8 patches cut from one gastric biopsy slide · 300 × 300 pixels each · H&E stain · 20× magnification.
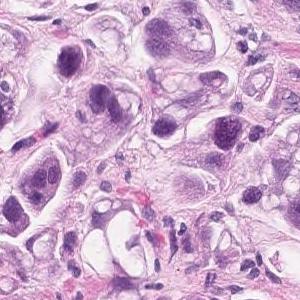
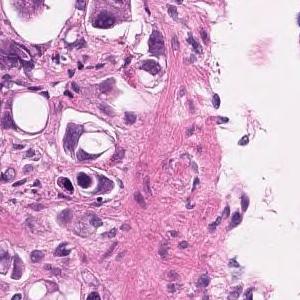
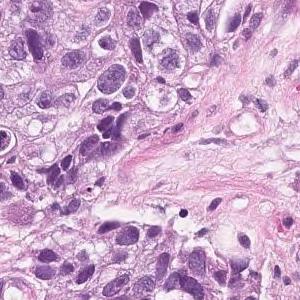
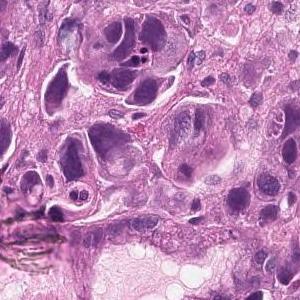
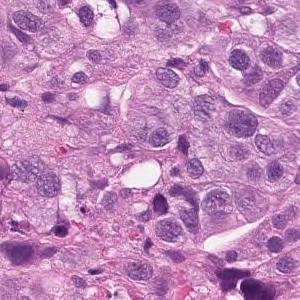
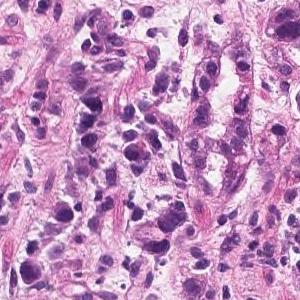
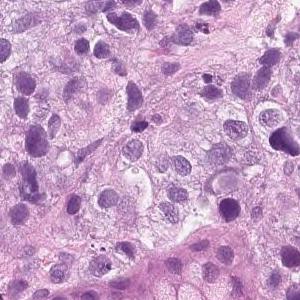
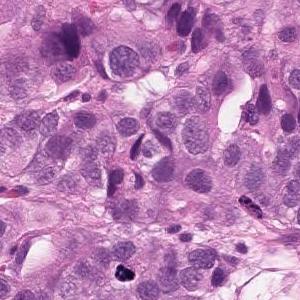
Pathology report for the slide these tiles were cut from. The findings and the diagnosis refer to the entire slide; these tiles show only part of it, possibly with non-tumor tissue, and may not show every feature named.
Tumor tissue that infiltrates the epithelium in an alveolar manner. Poorly differentiated adenocarcinoma, solid-type
Histological subtype: Poorly differentiated adenocarcinoma, solid type, a category of the Japanese Classification of Gastric Carcinoma; in the WHO 2019 classification it is tubular adenocarcinoma, poorly differentiated.
